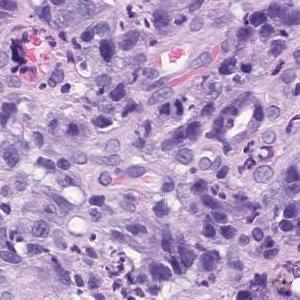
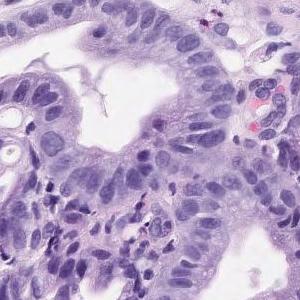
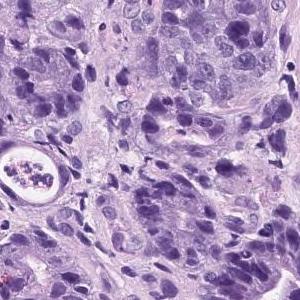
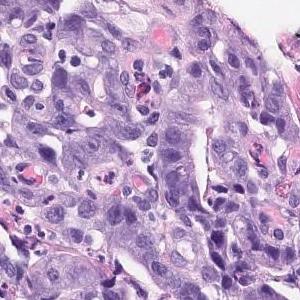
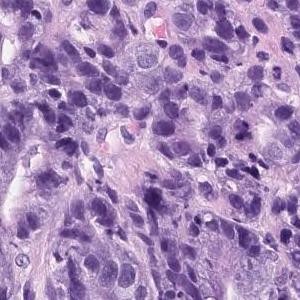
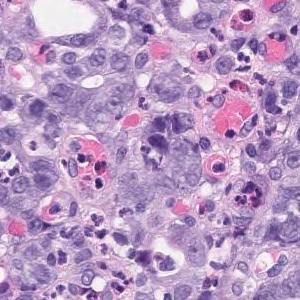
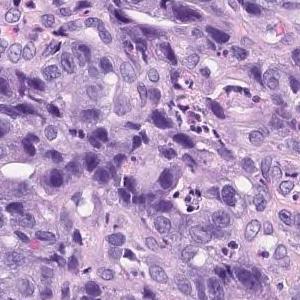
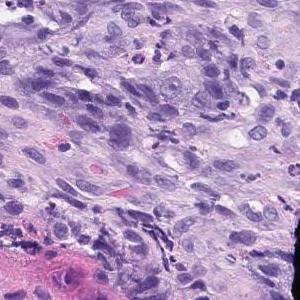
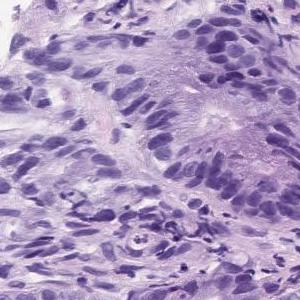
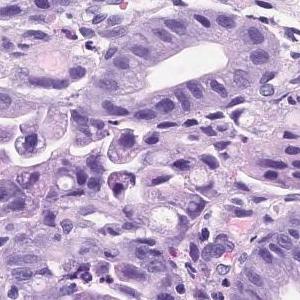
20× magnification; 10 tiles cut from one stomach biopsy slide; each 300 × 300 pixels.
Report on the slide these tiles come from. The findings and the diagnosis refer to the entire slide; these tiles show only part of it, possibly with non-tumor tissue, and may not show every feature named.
In the superficial epithelium, tumor tissue that invades by forming medium-sized to small, irregular ducts is observed. Moderately differentiated adenocarcinoma.
Classified as moderately differentiated tubular adenocarcinoma.
